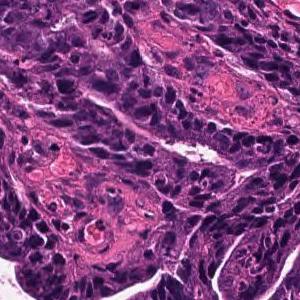
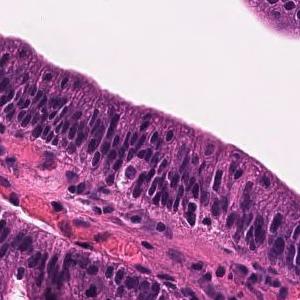
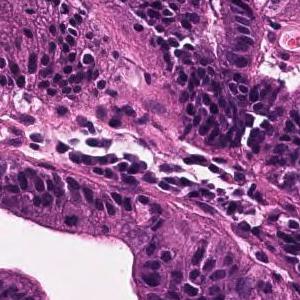
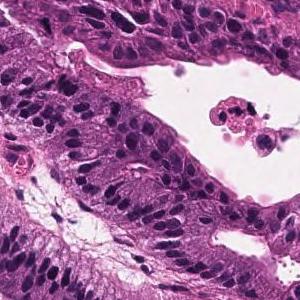
Hematoxylin and eosin stain; 20× magnification; 4 image tiles from a single gastric biopsy slide; each 300 × 300 pixels.
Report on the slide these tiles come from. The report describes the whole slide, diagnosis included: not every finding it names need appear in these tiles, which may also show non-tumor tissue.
Tumor tissue that remains within the superficial epithelium and is infiltrated by large papillary or irregular ducts that fuse with each other is observed. Well differentiated tubular adenocarcinoma
